Hematoxylin and eosin stain · 16 patches cut from one gastric biopsy slide · each 300 × 300 pixels.
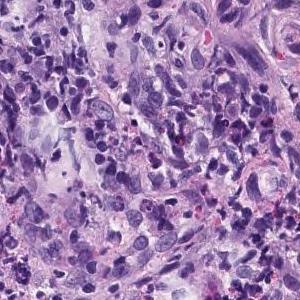
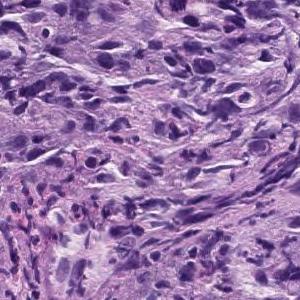
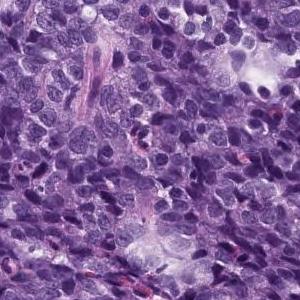
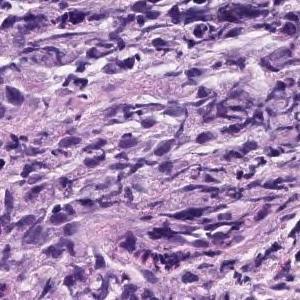
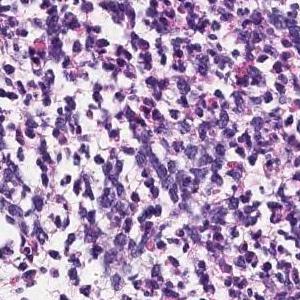
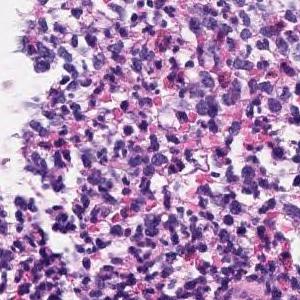
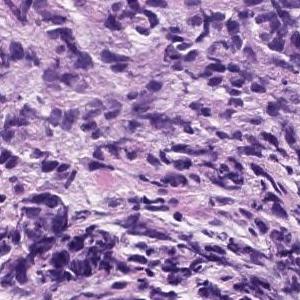
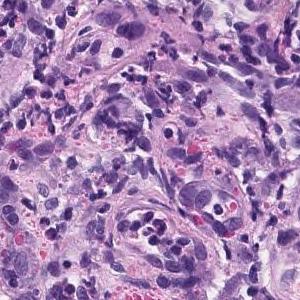
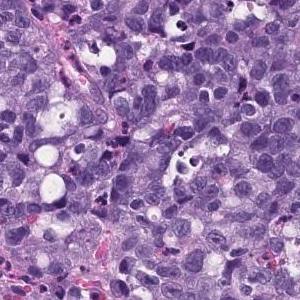
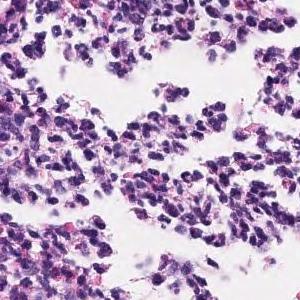
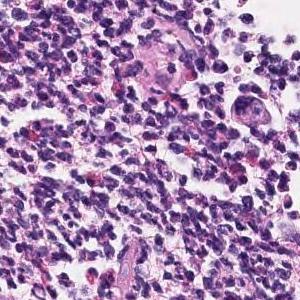
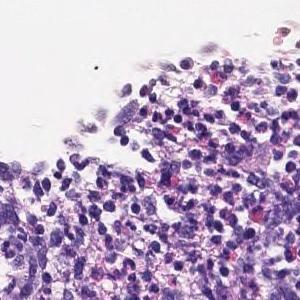
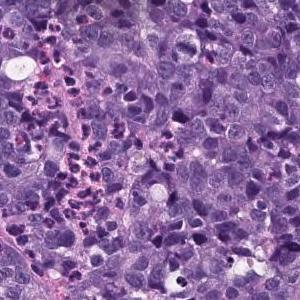
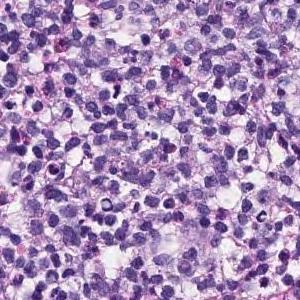
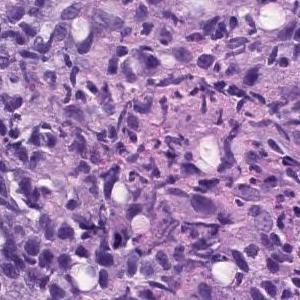
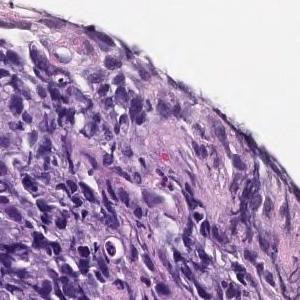
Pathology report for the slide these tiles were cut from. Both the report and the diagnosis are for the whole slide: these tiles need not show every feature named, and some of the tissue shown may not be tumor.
The superficial epithelium shows a large sheet-like shape, and some tumor tissue infiltrates with small irregular ducts. Poorly differentiated adenocarcinoma, solid-type
Tumor subtype: poorly differentiated adenocarcinoma, solid type, a category of the Japanese Classification of Gastric Carcinoma; in the WHO 2019 classification it is tubular adenocarcinoma, poorly differentiated.
